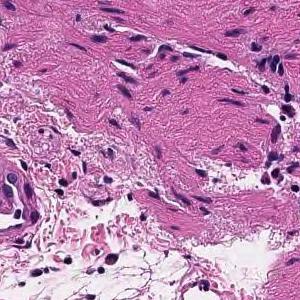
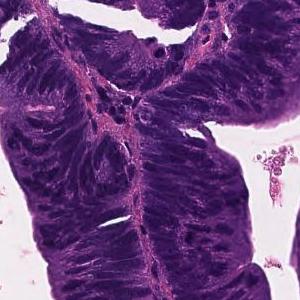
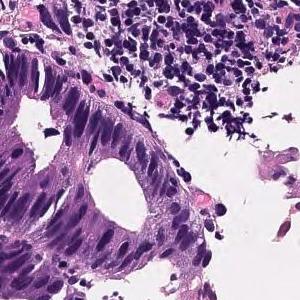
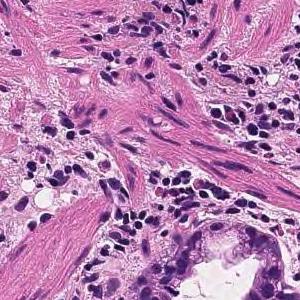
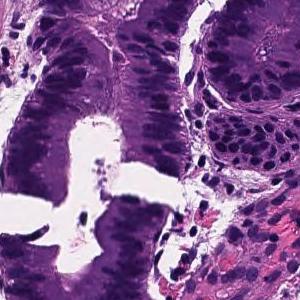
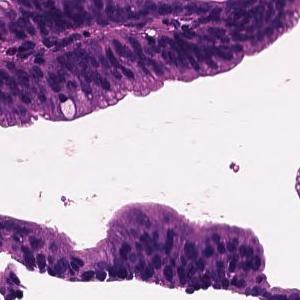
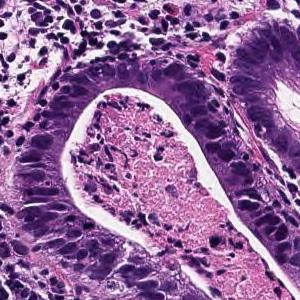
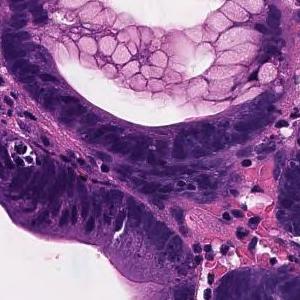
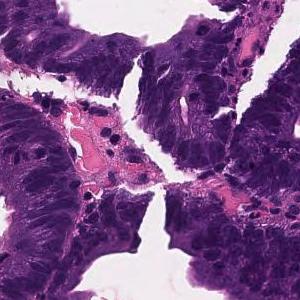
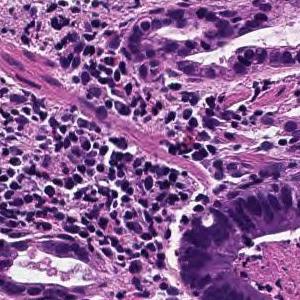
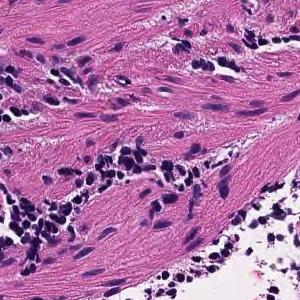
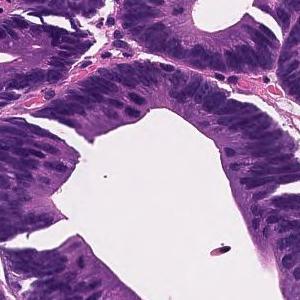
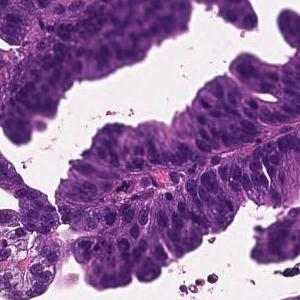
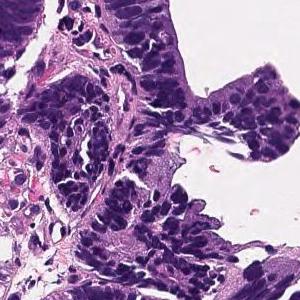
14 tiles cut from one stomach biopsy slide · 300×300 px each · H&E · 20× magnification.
Pathology report for the slide these tiles were cut from. The report describes the whole slide, diagnosis included: not every finding it names need appear in these tiles, which may also show non-tumor tissue.
Tumor tissue consisting of large papillary structures is found in the superficial epithelium. Papillary adenocarcinoma.
